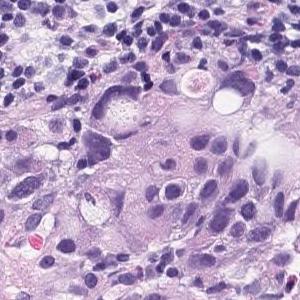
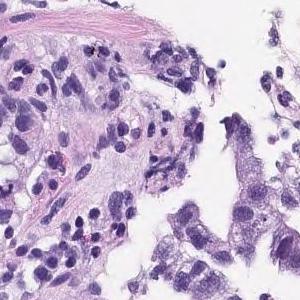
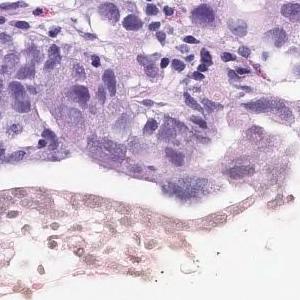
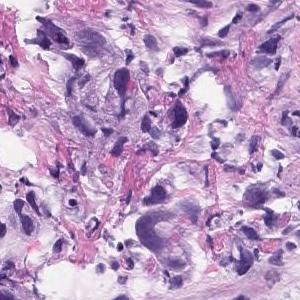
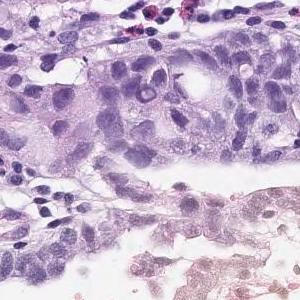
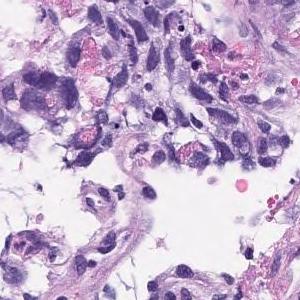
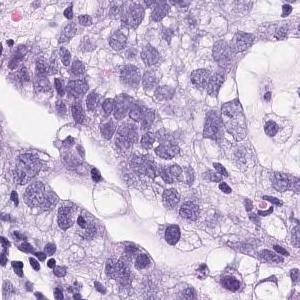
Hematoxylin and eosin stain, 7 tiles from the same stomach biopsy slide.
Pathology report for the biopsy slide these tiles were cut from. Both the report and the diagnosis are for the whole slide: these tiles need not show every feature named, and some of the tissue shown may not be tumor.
In the superficial epithelium, tumor tissue that invades by forming medium-sized to small, irregular ducts is observed. Moderately differentiated adenocarcinoma.
Tumor subtype: moderately differentiated tubular adenocarcinoma.
